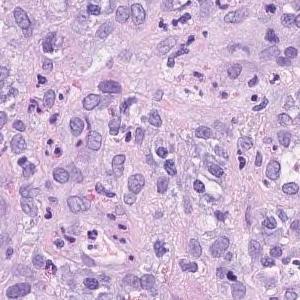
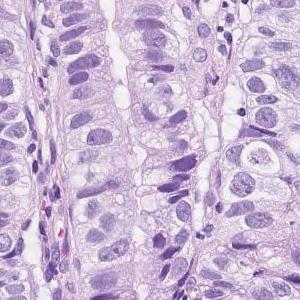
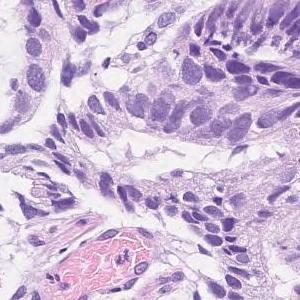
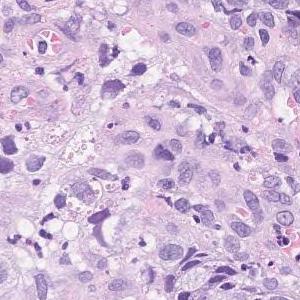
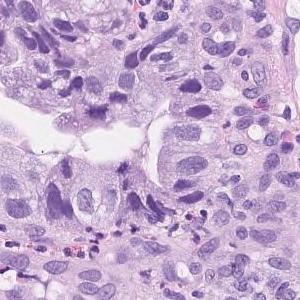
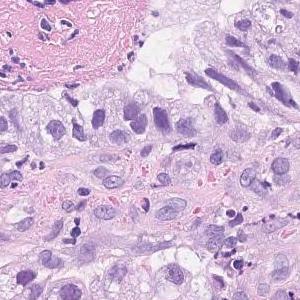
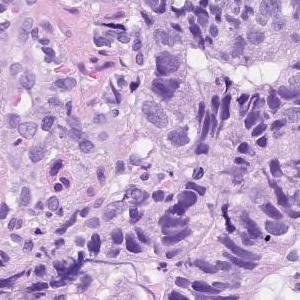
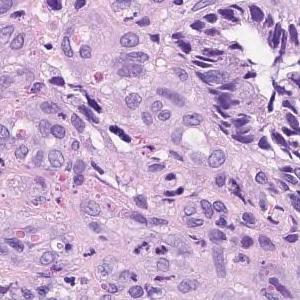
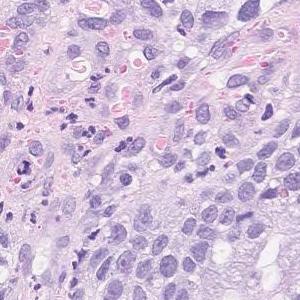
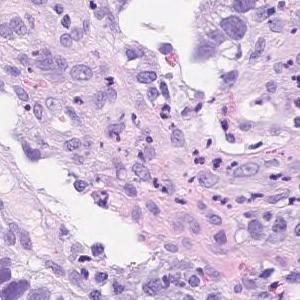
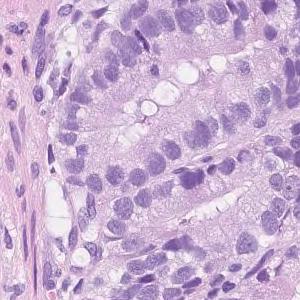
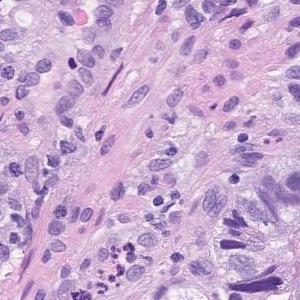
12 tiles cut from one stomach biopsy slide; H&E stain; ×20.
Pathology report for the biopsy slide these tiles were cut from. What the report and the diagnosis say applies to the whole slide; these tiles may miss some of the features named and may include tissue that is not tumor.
Atypical l cells with atypical nuclei forming solid or diffuse vesicles or small irregular atypical ducts and growing in a complex manner. moderately differentiated tubular adenocarcinoma
